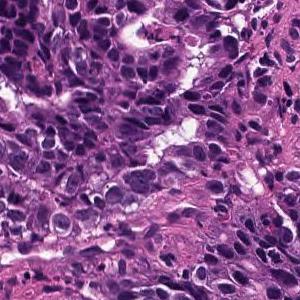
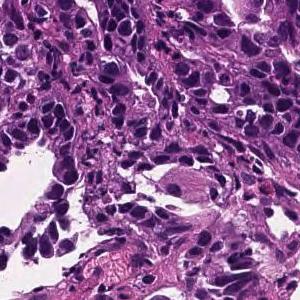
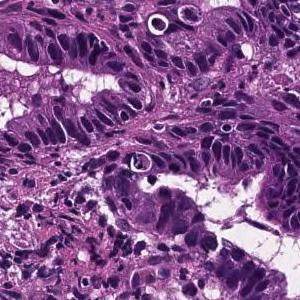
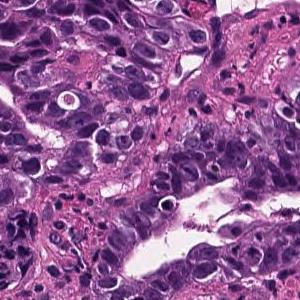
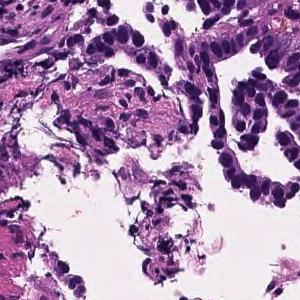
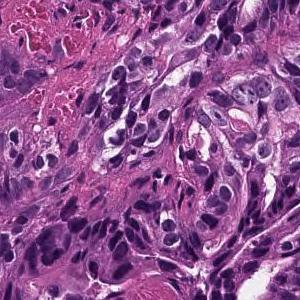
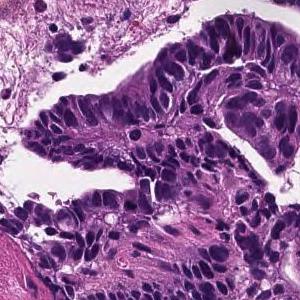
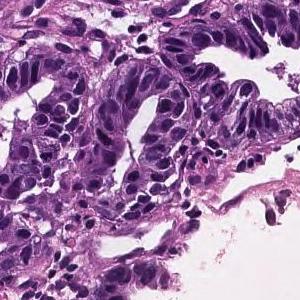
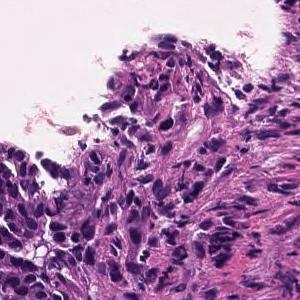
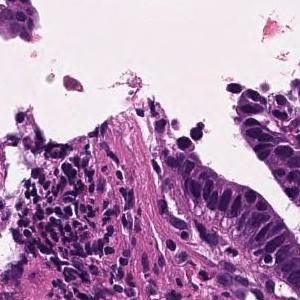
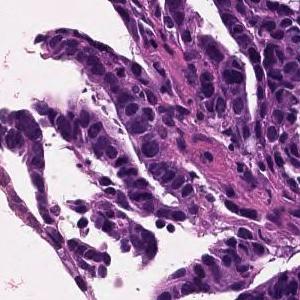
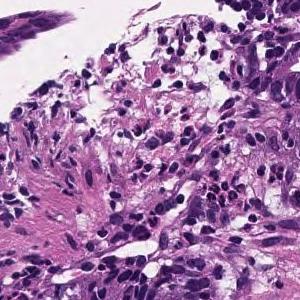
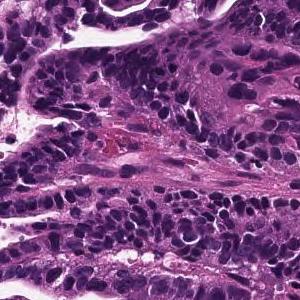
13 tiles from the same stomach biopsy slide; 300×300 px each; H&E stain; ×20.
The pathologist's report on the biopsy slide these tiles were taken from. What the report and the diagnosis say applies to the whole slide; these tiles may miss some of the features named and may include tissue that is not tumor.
Tumor cells are large, highly columnar, large club-shaped nuclei, and are associated with chromatin aggregation. Papillary adenocarcinoma.
